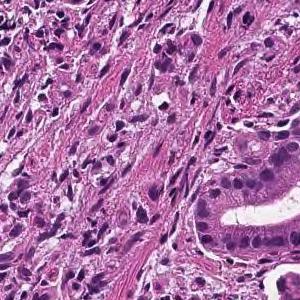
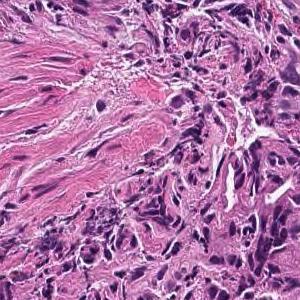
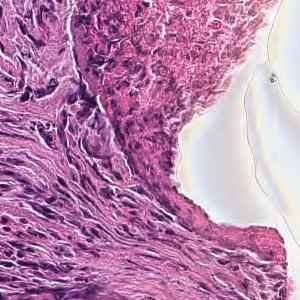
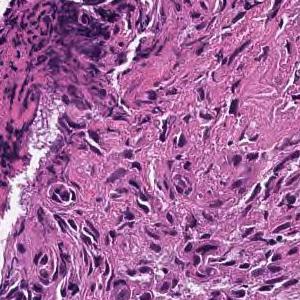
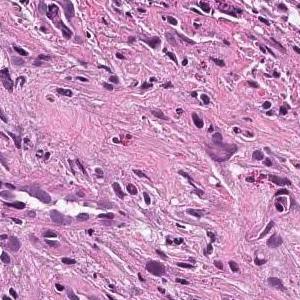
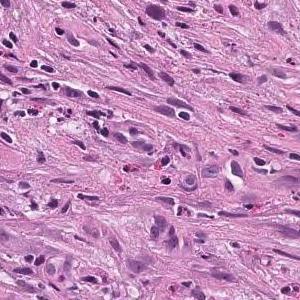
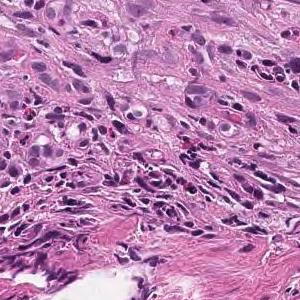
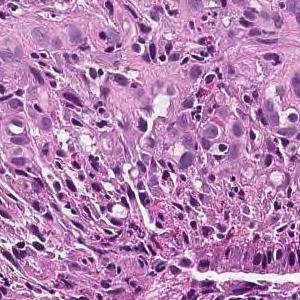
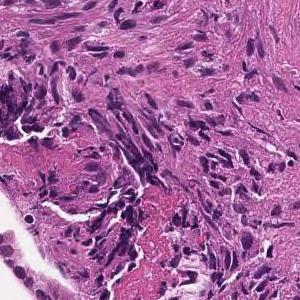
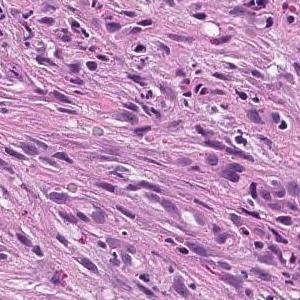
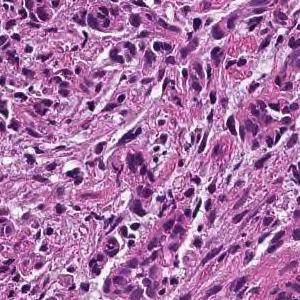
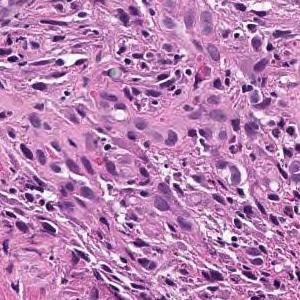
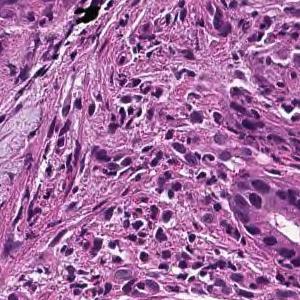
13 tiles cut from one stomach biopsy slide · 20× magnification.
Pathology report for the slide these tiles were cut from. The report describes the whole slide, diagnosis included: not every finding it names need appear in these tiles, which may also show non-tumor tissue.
In the superficial epithelium, tumor tissue that invades by forming medium-sized to small, irregular ducts is observed. moderately differentiated tubular adenocarcinoma.
